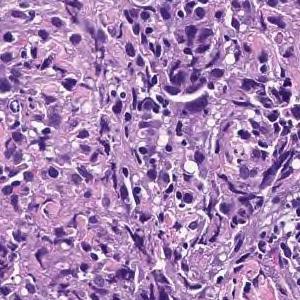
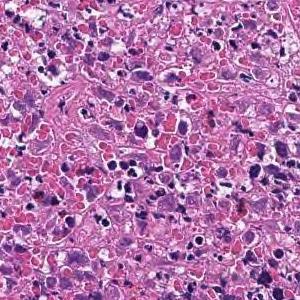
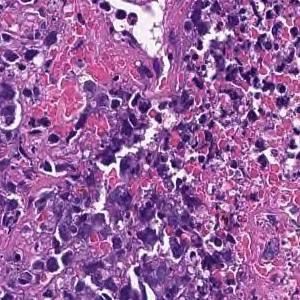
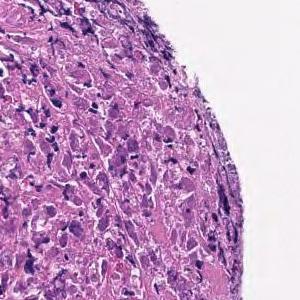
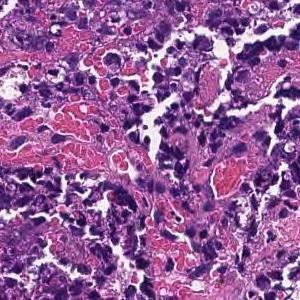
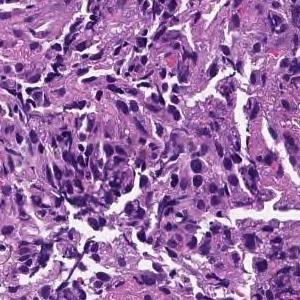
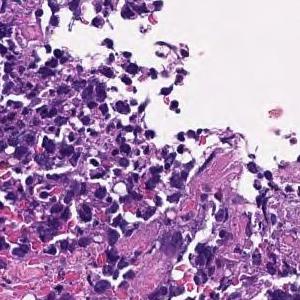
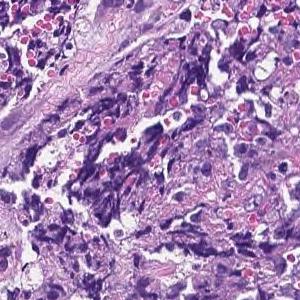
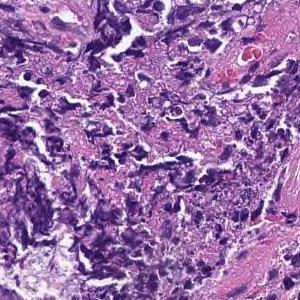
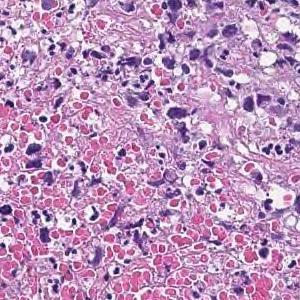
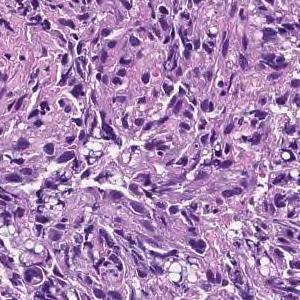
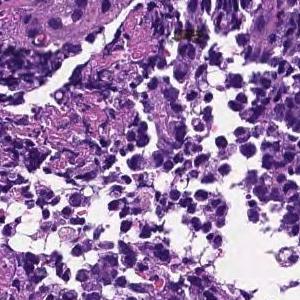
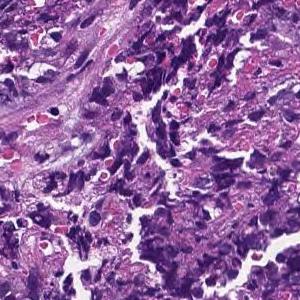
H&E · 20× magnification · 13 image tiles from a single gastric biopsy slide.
Pathology report for the biopsy slide these tiles were cut from. The report describes the whole slide, diagnosis included: not every finding it names need appear in these tiles, which may also show non-tumor tissue.
Most are composed of coagulative necrotic tissue, but some show a large sheet-like shape, and some show tumor tissue infiltrating with a small cord-like structure. Poorly differentiated adenocarcinoma, solid-type
Classified as poorly differentiated adenocarcinoma, solid type, a category of the Japanese Classification of Gastric Carcinoma; in the WHO 2019 classification it is tubular adenocarcinoma, poorly differentiated.
